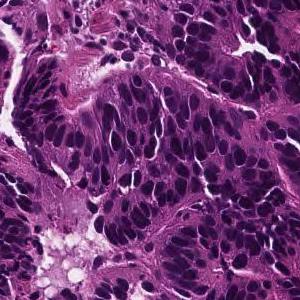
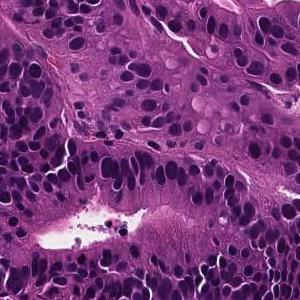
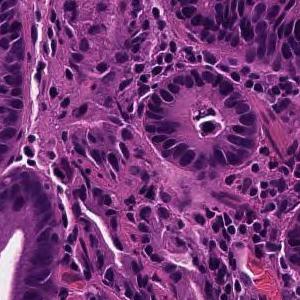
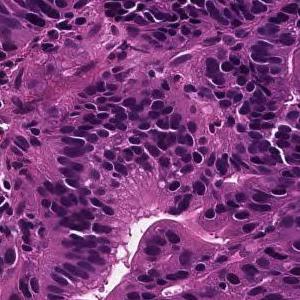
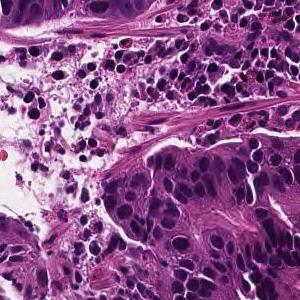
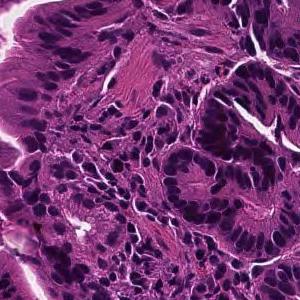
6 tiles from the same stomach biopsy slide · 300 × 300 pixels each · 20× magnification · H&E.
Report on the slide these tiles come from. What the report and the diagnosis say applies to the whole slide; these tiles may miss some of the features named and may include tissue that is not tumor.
From the superficial epithelium to the muscularis mucosae, tumor tissue consisting of medium-sized and irregular glandular ducts infiltrating is observed. Well differentiated tubular adenocarcinoma
